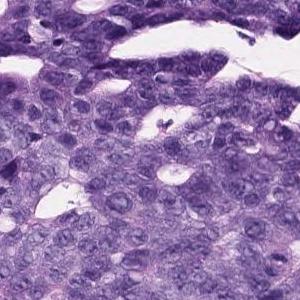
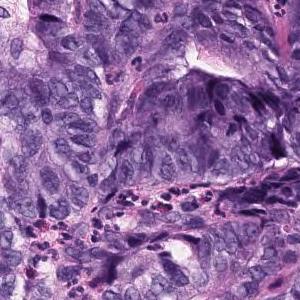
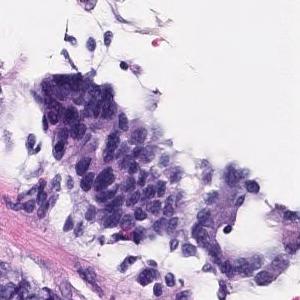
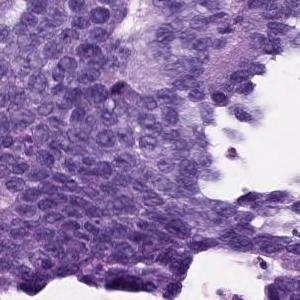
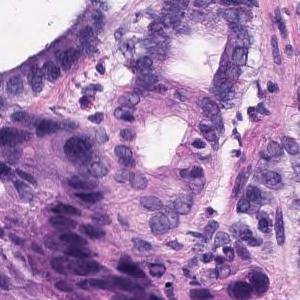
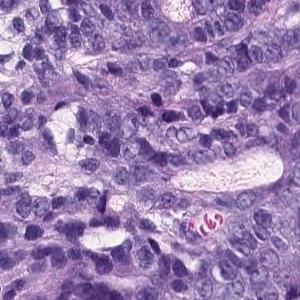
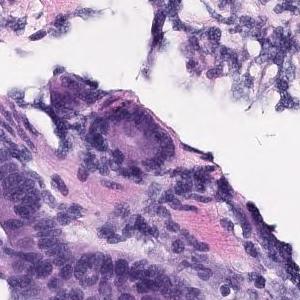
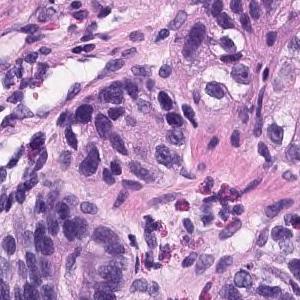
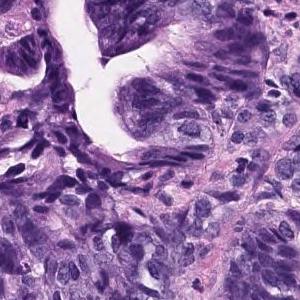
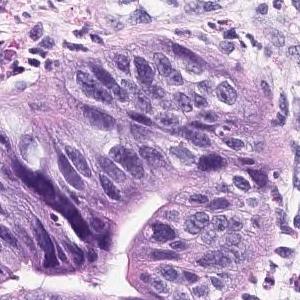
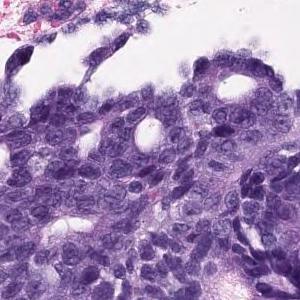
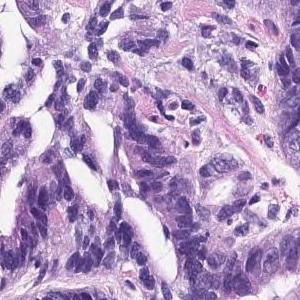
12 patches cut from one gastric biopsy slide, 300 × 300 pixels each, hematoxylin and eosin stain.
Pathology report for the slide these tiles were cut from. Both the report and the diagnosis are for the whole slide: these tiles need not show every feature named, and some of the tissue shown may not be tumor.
In the superficial epithelium, tumor tissue that invades by forming medium-sized to small, irregular ducts is observed. Well to moderately differentiated tubular adenocarcinoma.
